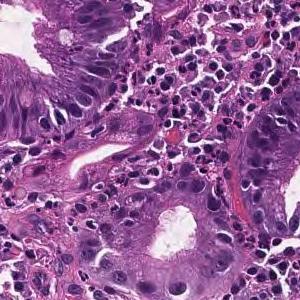
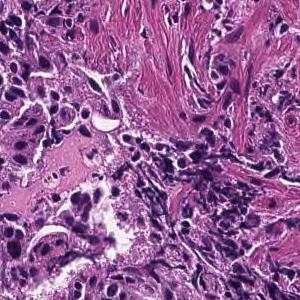
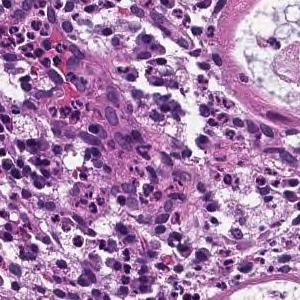
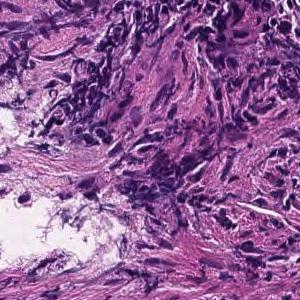
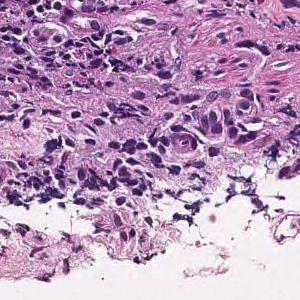
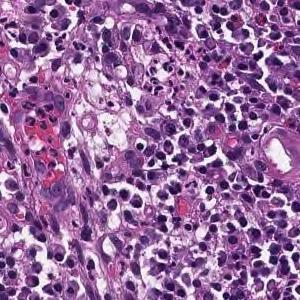
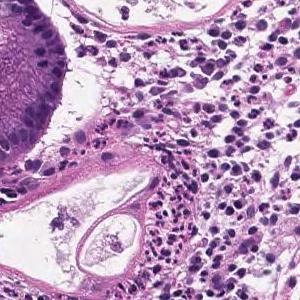
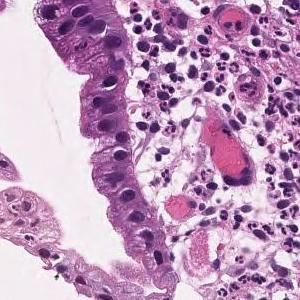
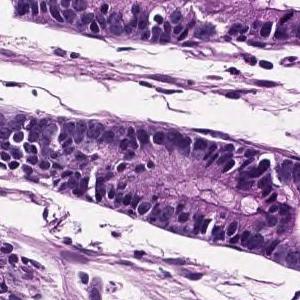
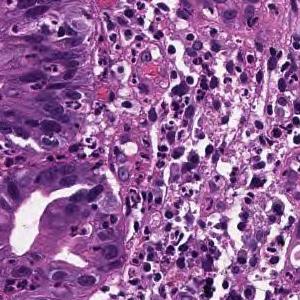
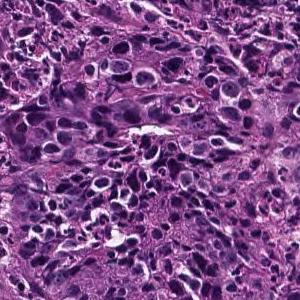
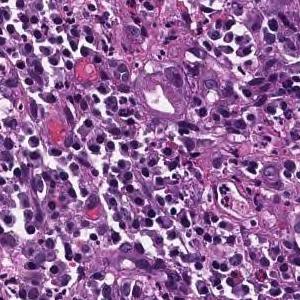
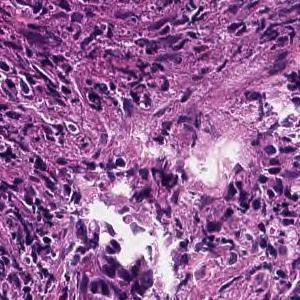
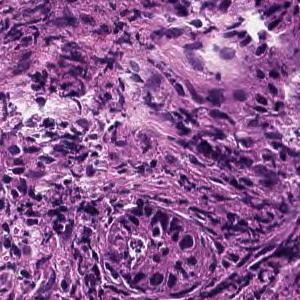
14 patches cut from one gastric biopsy slide; scanned at ×20.
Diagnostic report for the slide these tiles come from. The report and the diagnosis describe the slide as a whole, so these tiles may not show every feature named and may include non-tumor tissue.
On the superficial epithelium, tumor tissue consisting of large, irregular glandular ducts partially fused and infiltrated is observed. Well to moderately differentiated tubular adenocarcinoma (well differentiated tubular adenocarcinoma, moderately differentiated tubular adenocarcinoma)
Histologic type: Well to moderately differentiated tubular adenocarcinoma.
